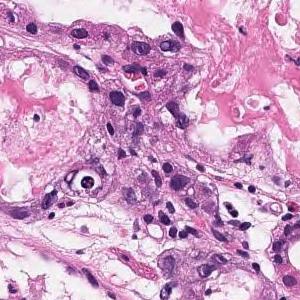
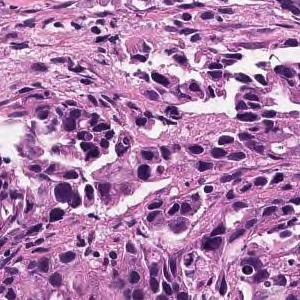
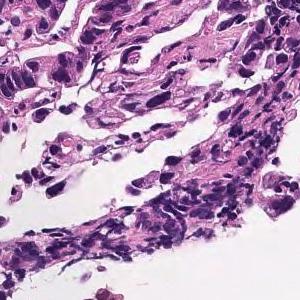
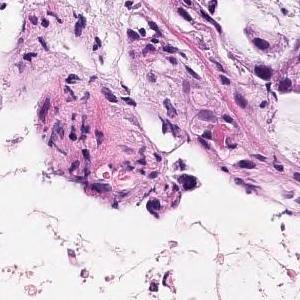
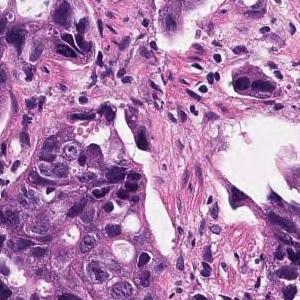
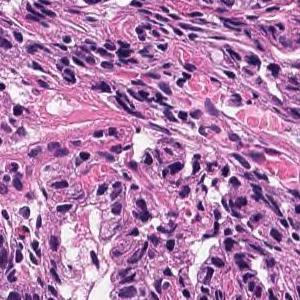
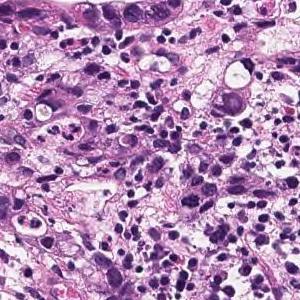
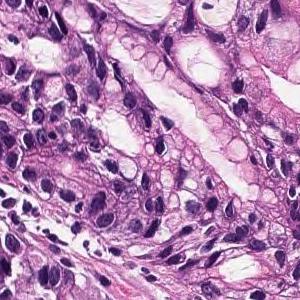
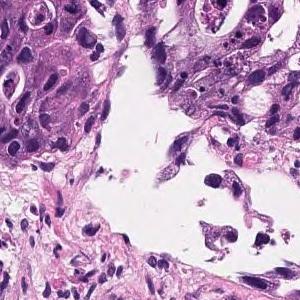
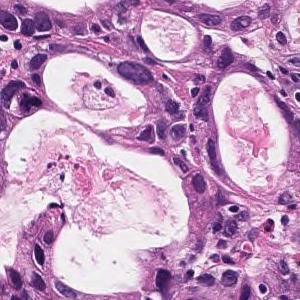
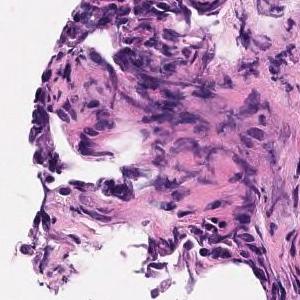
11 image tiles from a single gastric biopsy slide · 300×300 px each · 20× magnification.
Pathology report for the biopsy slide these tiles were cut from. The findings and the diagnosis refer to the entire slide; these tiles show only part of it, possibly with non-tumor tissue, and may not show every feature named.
In the superficial epithelium, tumor tissue that invades by forming medium-sized to small, irregular ducts is observed. Moderately differentiated adenocarcinoma.
Classified as moderately differentiated tubular adenocarcinoma.
